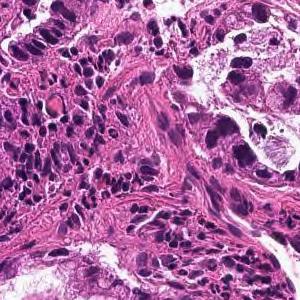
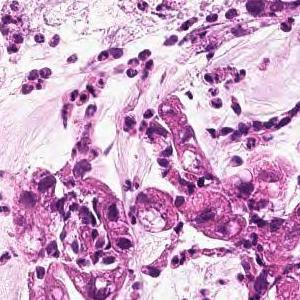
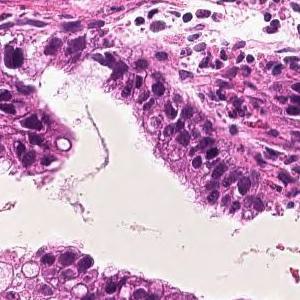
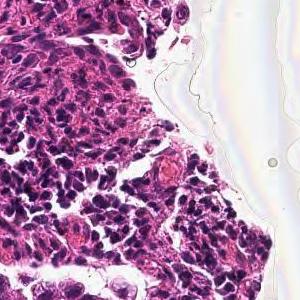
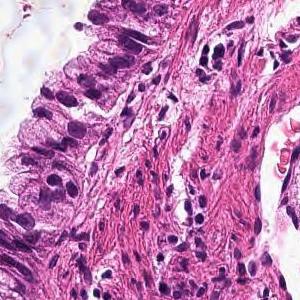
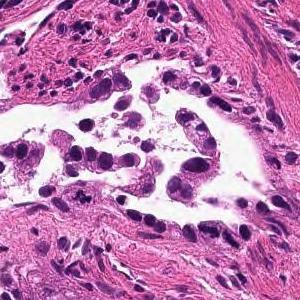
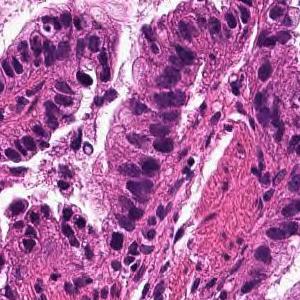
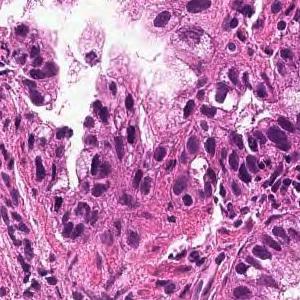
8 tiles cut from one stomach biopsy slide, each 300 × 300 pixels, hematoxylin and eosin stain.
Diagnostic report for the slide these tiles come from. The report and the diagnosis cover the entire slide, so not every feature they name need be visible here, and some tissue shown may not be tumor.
From the superficial epithelium to the muscularis mucosae, tumor tissue infiltrating by forming medium-sized irregular gland ducts is observed. Well differentiated tubular adenocarcinoma
